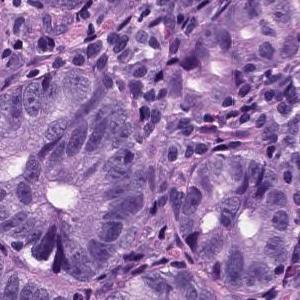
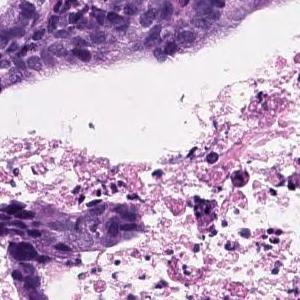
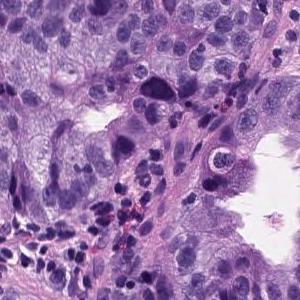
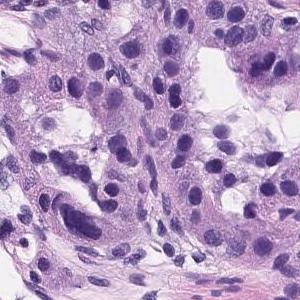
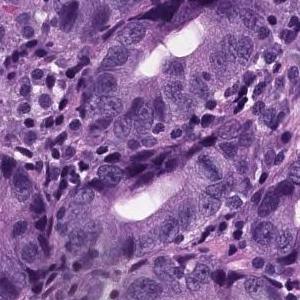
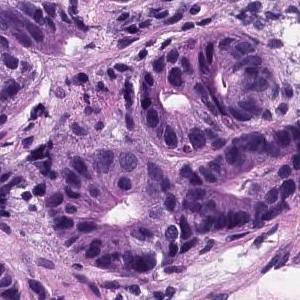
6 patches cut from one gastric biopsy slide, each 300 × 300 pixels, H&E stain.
Report on the slide these tiles come from. The report and the diagnosis cover the entire slide, so not every feature they name need be visible here, and some tissue shown may not be tumor.
Tumor tissue consisting of medium-sized and irregular ducts is observed infiltrating in the superficial epithelium. Tumor cells are highly columnar, with nuclei aligned basolaterally and polarized. Well differentiated tubular adenocarcinoma.
